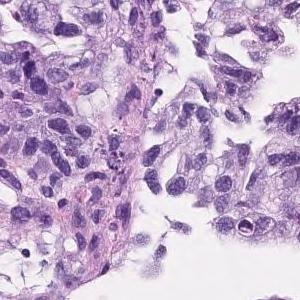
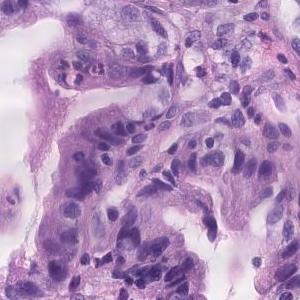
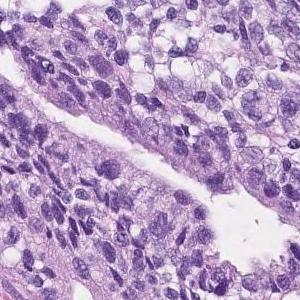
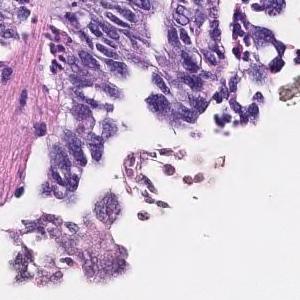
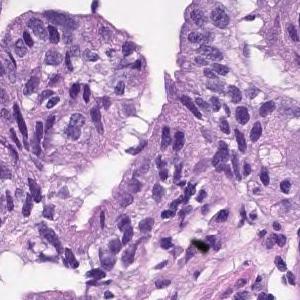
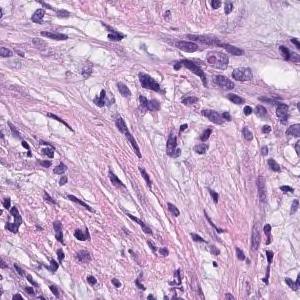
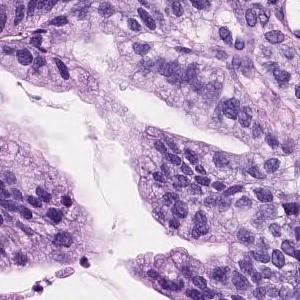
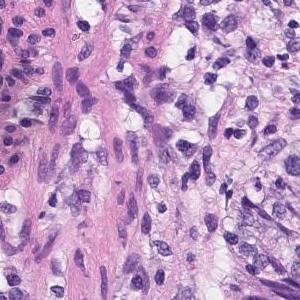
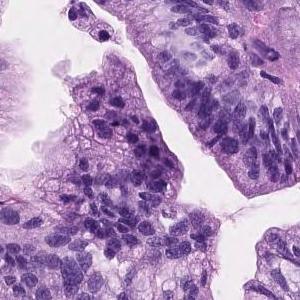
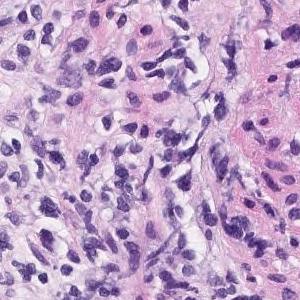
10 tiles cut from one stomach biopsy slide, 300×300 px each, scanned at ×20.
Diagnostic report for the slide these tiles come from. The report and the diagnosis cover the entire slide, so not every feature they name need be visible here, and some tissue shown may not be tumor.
Tumor cells are large, highly columnar, large club-shaped nuclei, and are associated with chromatin aggregation. Papillary adenocarcinoma.
